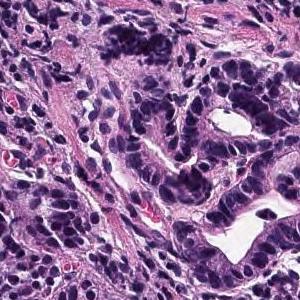
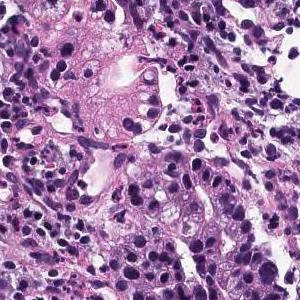
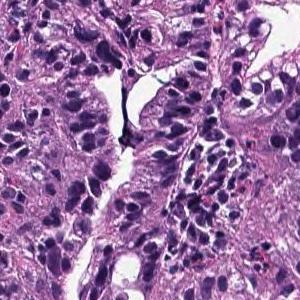
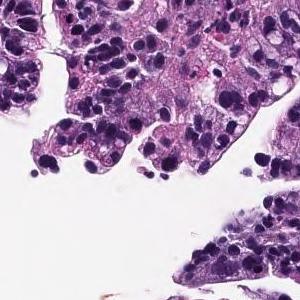
4 patches cut from one gastric biopsy slide, 300×300 px each, scanned at ×20, H&E.
Diagnostic report for the slide these tiles come from. Both the report and the diagnosis are for the whole slide: these tiles need not show every feature named, and some of the tissue shown may not be tumor.
Neoplastic cells with atypical nuclei of different sizes exhibit tubular glands and infiltrate and proliferate. Moderately differentiated tubular adenocarcinoma.
